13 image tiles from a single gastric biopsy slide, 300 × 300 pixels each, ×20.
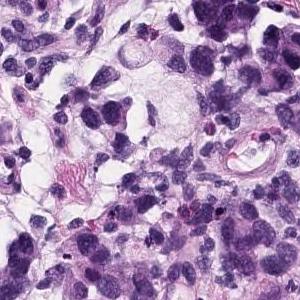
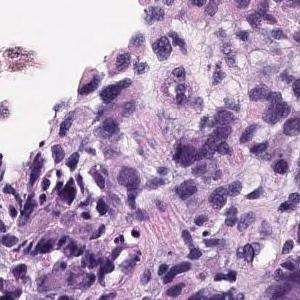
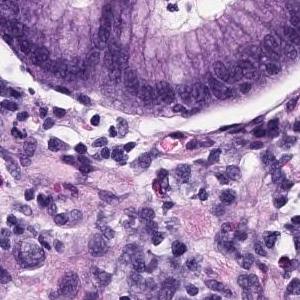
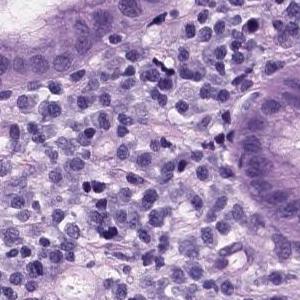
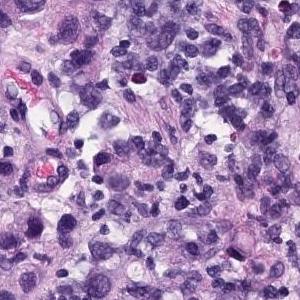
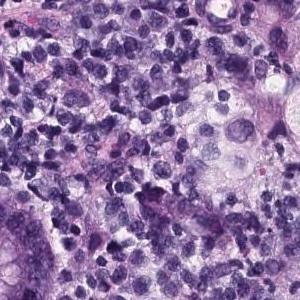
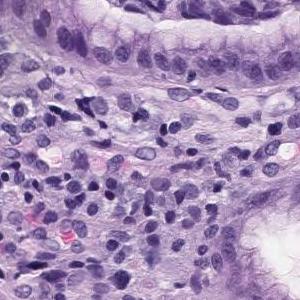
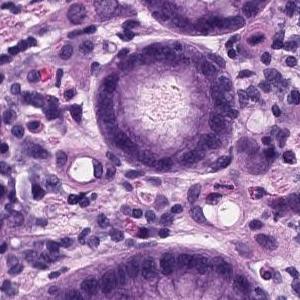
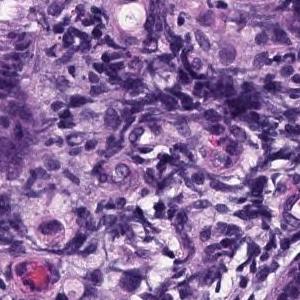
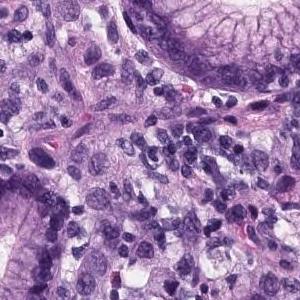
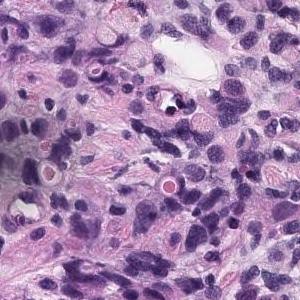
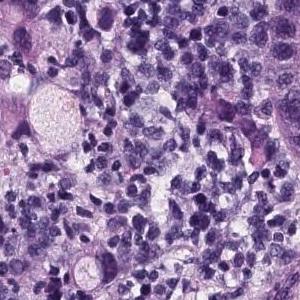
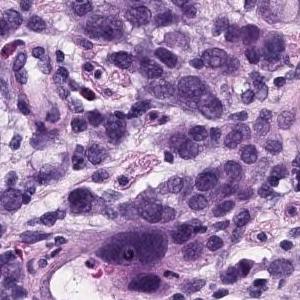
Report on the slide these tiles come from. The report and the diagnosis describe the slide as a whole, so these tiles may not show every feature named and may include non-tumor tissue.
Group 5, Adenocarcinoma. Poorly differentiated adenocarcinoma, non-solid type
The term "non-solid type" comes from the Japanese Classification of Gastric Carcinoma.
